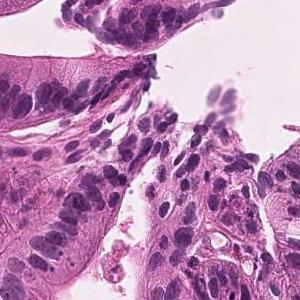
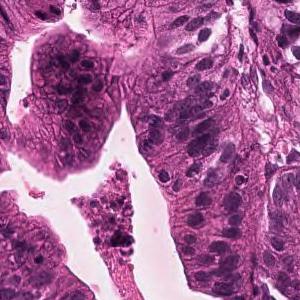
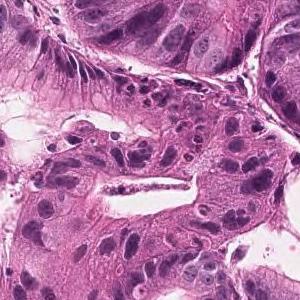
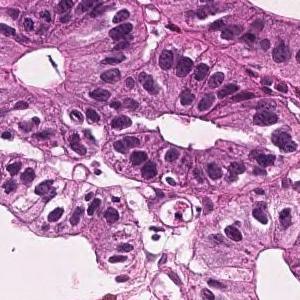
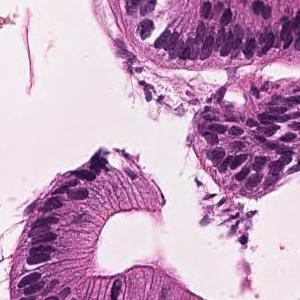
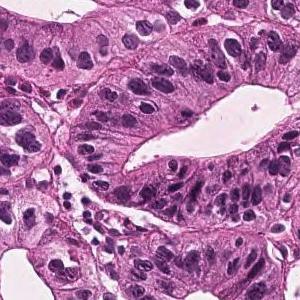
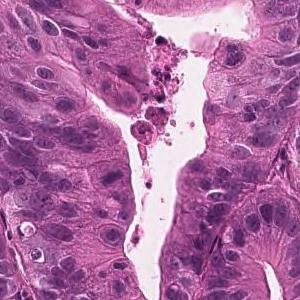
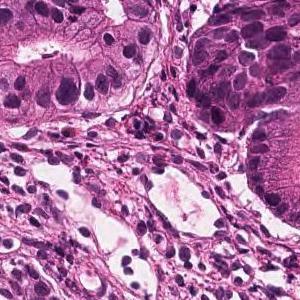
8 tiles from the same stomach biopsy slide · 300 × 300 pixels each · hematoxylin and eosin stain · 20× magnification.
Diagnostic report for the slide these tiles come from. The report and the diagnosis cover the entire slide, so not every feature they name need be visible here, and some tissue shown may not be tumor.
Tumor tissue consisting of medium-sized and irregular ducts is observed infiltrating in the superficial epithelium. Tumor cells are highly columnar, with nuclei aligned basolaterally and polarized. Well differentiated tubular adenocarcinoma.
